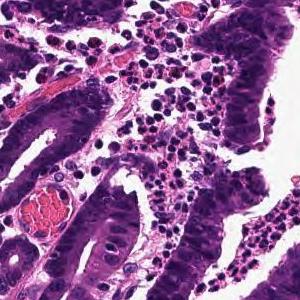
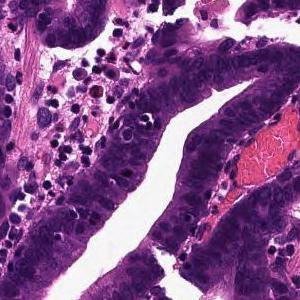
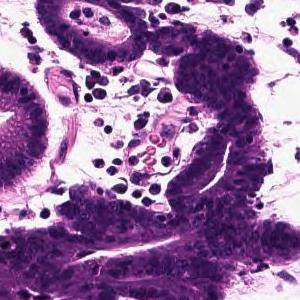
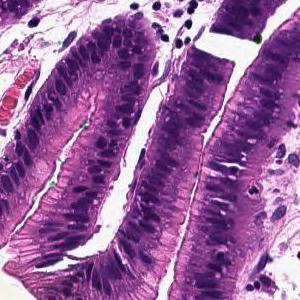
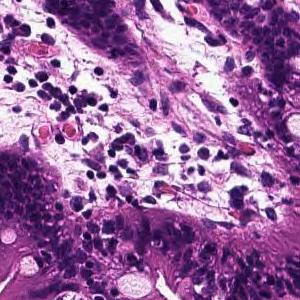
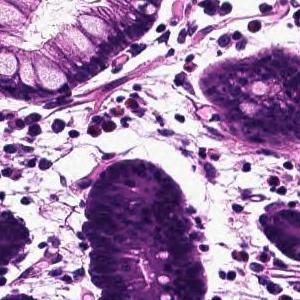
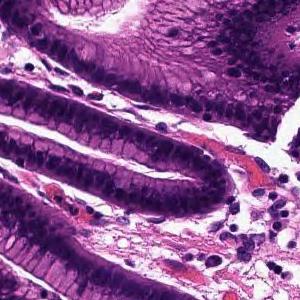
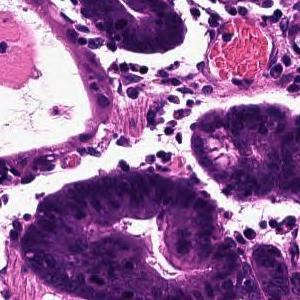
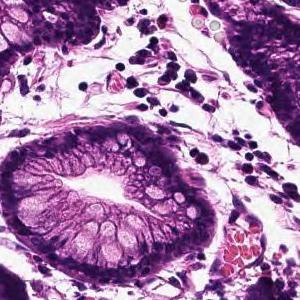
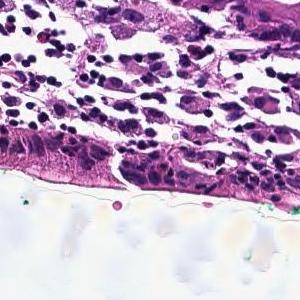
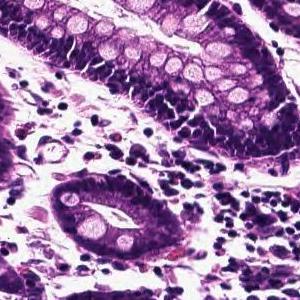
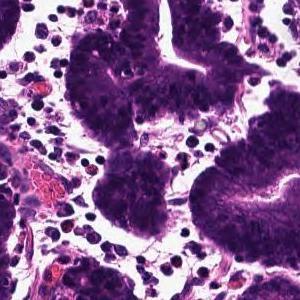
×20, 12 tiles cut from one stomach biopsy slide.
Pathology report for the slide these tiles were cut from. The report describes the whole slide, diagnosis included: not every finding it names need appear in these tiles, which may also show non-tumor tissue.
Tumor tissue that infiltrates by forming large papillary or large irregular glandular ducts is observed confined to the mucosa. Papillary adenocarcinoma
